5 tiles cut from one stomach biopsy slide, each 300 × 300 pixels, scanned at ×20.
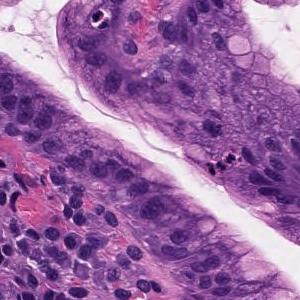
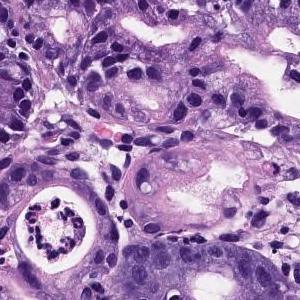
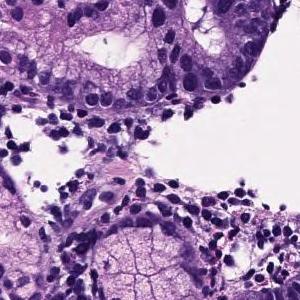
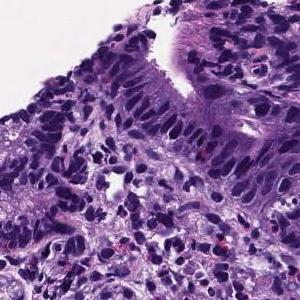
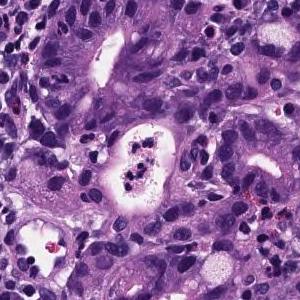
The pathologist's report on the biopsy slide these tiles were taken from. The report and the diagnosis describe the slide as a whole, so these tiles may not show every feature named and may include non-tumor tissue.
Medium to small, irregular glandular ducts are formed in the superficial epithelium, and in some cases, the glandular ducts are fused to show solid alveolar lesions and infiltrating tumor tissue is observed. Moderately to poorly differentiated adenocarcinoma.
